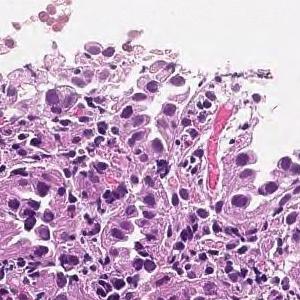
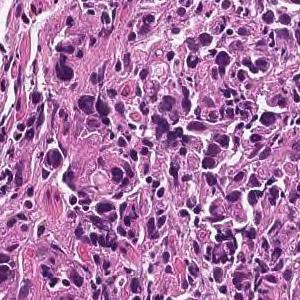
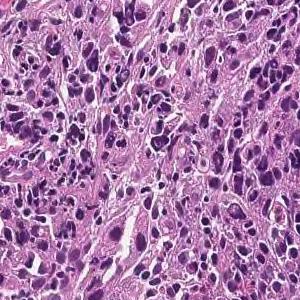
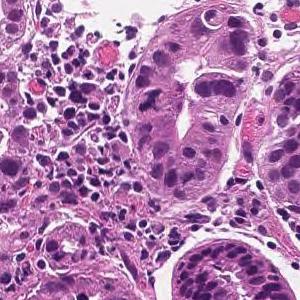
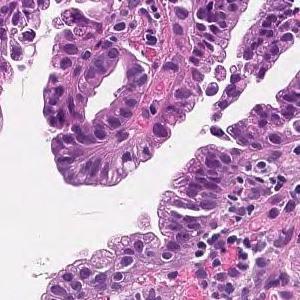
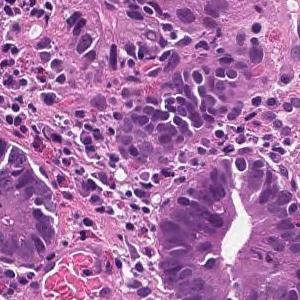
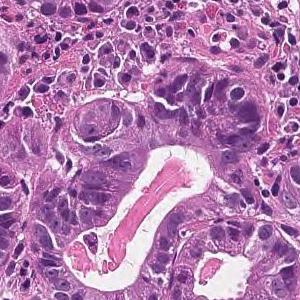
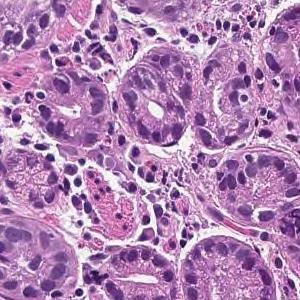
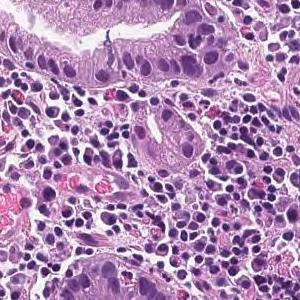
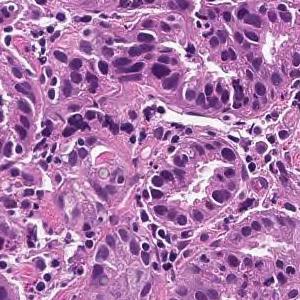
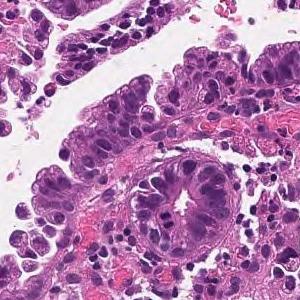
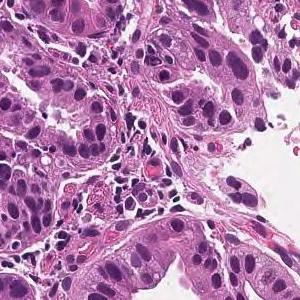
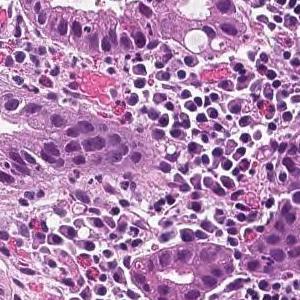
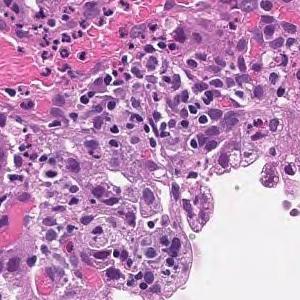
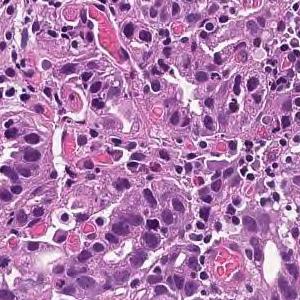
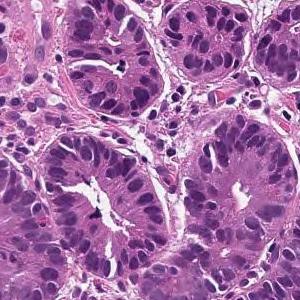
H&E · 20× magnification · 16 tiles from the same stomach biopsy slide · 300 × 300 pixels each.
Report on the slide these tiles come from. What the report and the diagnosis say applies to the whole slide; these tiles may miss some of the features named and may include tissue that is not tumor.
On the superficial epithelium, tumor tissue consisting of large irregular glandular ducts partially fused and infiltrated is observed. Well to moderately differentiated tubular adenocarcinoma (well differentiated tubular adenocarcinoma, moderately differentiated tubular adenocarcinoma)
Histological subtype: Well to moderately differentiated tubular adenocarcinoma.
